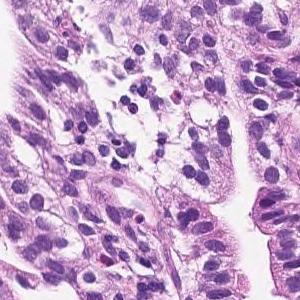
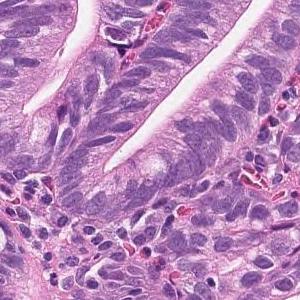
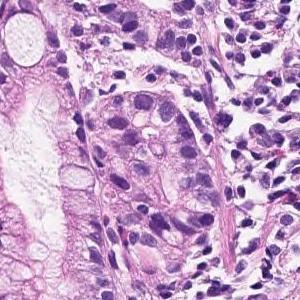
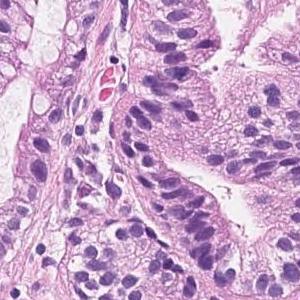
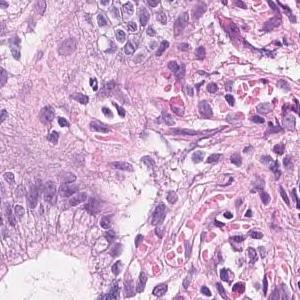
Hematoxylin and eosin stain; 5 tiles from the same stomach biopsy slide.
Diagnostic report for the slide these tiles come from. The report and the diagnosis describe the slide as a whole, so these tiles may not show every feature named and may include non-tumor tissue.
On the superficial epithelium, there is a tumor tissue consisting of medium to small, irregular tubules that are partially fused and proliferated. Well to moderately differentiated tubular adenocarcinoma
